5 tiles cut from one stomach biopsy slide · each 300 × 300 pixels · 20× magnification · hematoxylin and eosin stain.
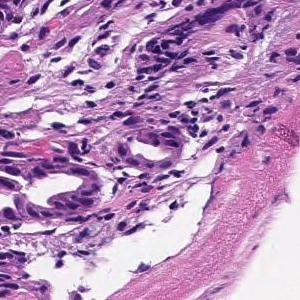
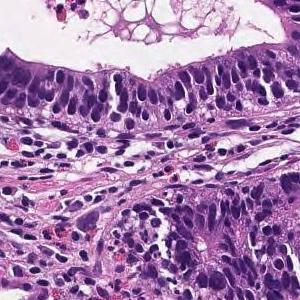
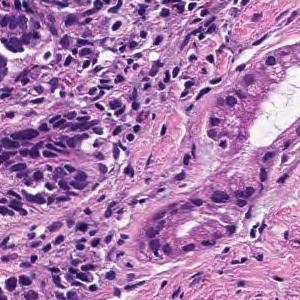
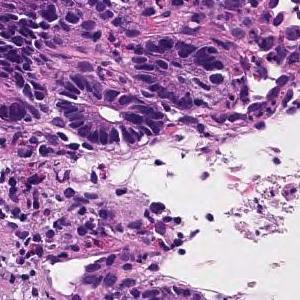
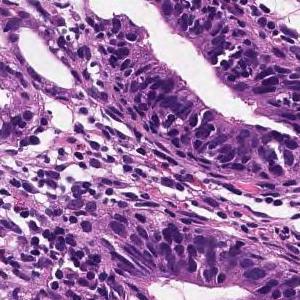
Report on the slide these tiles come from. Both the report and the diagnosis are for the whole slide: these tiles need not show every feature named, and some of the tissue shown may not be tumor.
In the superficial epithelium, tumor tissue that invades by forming medium-sized to small, irregular ducts is observed. moderately differentiated tubular adenocarcinoma.
